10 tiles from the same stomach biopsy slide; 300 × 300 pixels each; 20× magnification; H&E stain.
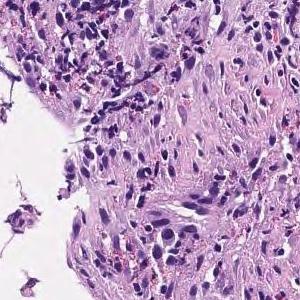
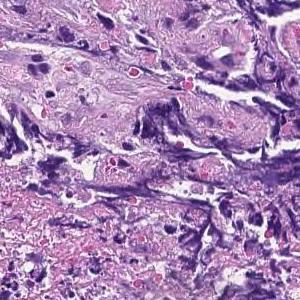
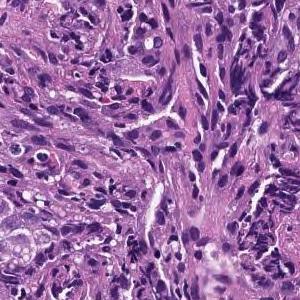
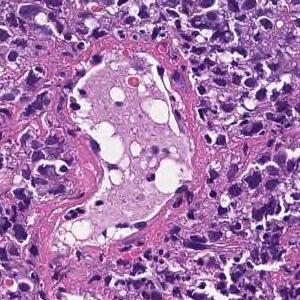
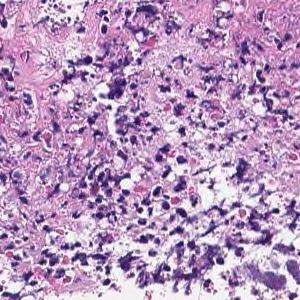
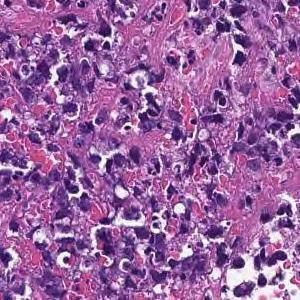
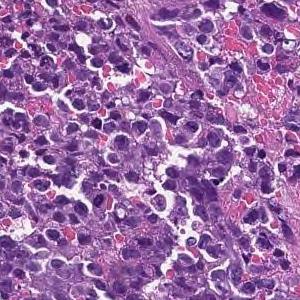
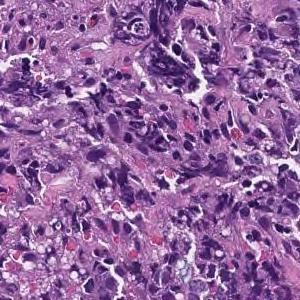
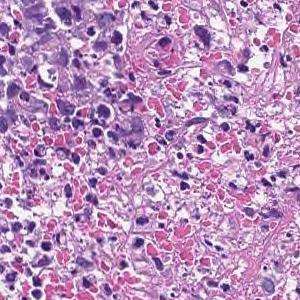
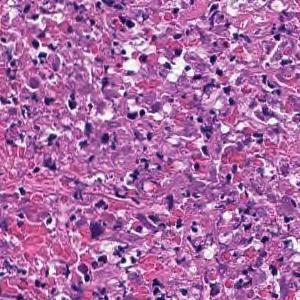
Pathology report for the slide these tiles were cut from. The report describes the whole slide, diagnosis included: not every finding it names need appear in these tiles, which may also show non-tumor tissue.
Most are composed of coagulative necrotic tissue, but some show a large sheet-like shape, and some show tumor tissue infiltrating with a small cord-like structure. Poorly differentiated adenocarcinoma, solid-type
Tumor subtype: poorly differentiated adenocarcinoma, solid type (Japanese Classification of Gastric Carcinoma). The WHO 2019 equivalent is tubular adenocarcinoma, poorly differentiated.
